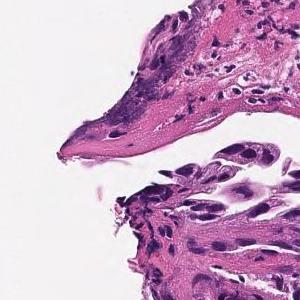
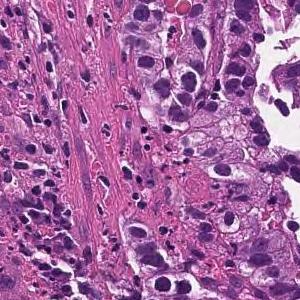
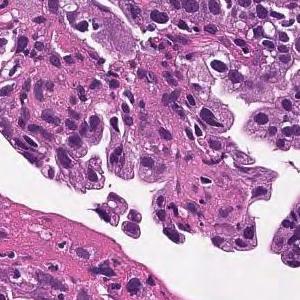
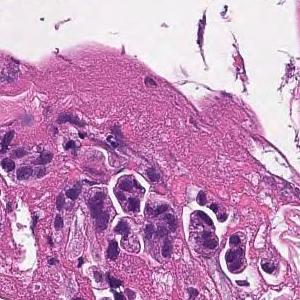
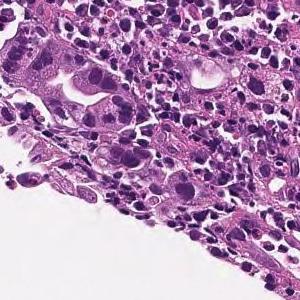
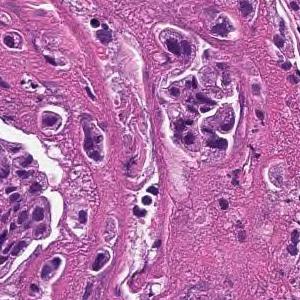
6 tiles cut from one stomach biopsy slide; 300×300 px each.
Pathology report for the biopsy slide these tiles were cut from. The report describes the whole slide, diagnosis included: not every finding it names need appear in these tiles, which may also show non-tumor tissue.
Medium to small, irregular glandular ducts are formed in the superficial epithelium, and in some cases, the glandular ducts are fused to show solid alveolar lesions and infiltrating tumor tissue is observed. Moderately to poorly differentiated adenocarcinoma.
